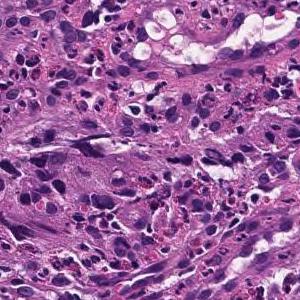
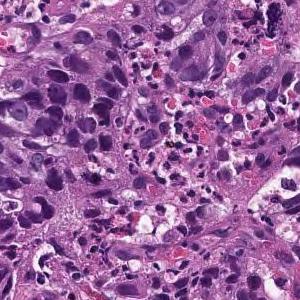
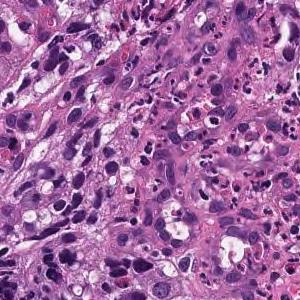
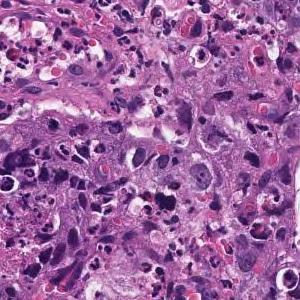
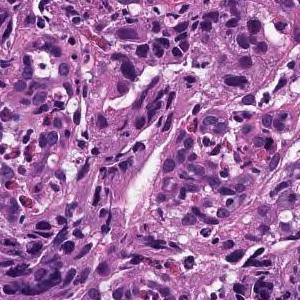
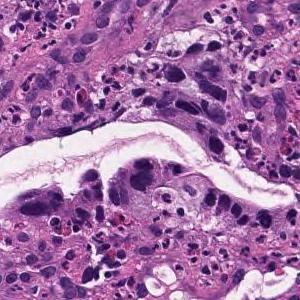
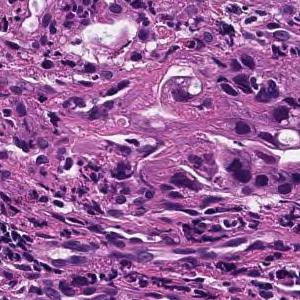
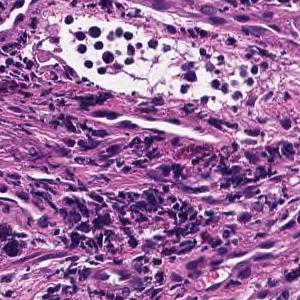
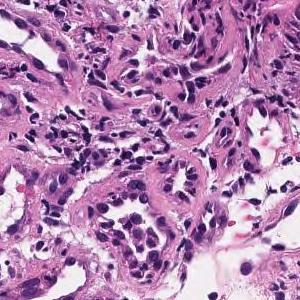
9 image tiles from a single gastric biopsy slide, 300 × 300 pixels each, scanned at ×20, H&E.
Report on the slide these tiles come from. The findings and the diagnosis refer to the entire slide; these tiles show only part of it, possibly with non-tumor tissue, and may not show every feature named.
In the superficial epithelium, tumor tissue that invades by forming medium-sized to small, irregular ducts is observed. moderately differentiated tubular adenocarcinoma.
